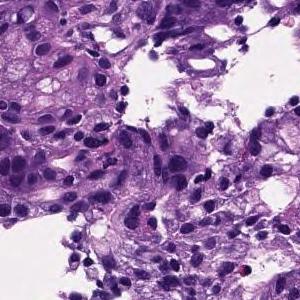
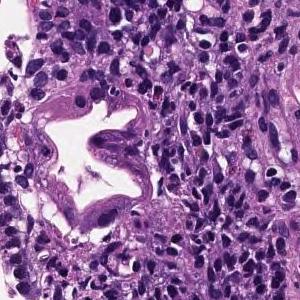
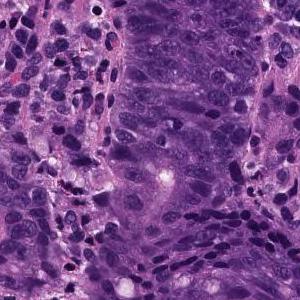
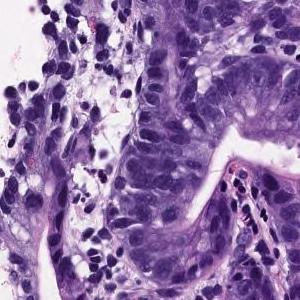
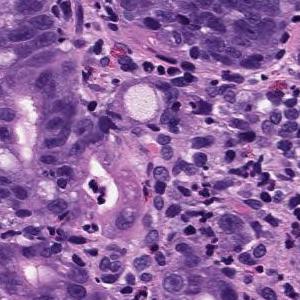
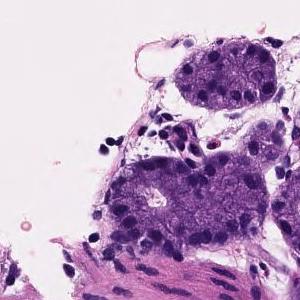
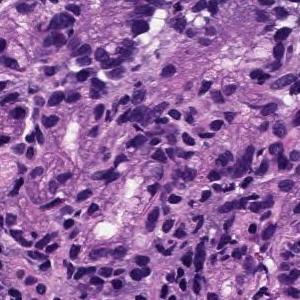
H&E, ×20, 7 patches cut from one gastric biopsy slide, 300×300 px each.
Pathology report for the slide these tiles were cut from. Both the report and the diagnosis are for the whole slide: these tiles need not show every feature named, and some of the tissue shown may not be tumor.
Medium to small, irregular glandular ducts are formed in the superficial epithelium, and in some cases, the glandular ducts are fused to show solid alveolar lesions and infiltrating tumor tissue is observed. Moderately to poorly differentiated adenocarcinoma.
